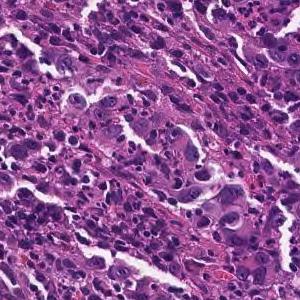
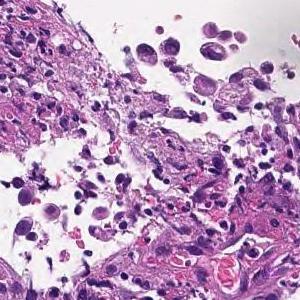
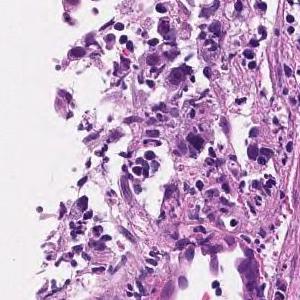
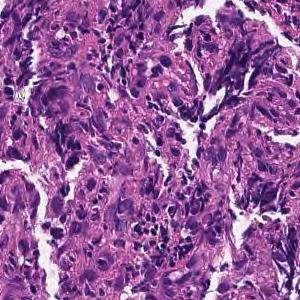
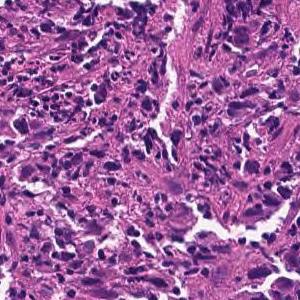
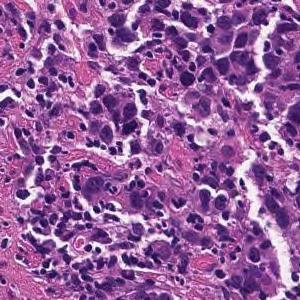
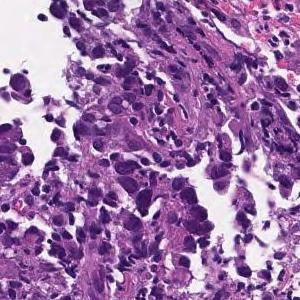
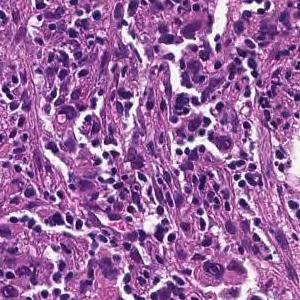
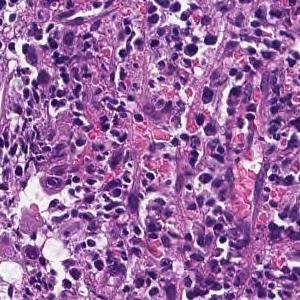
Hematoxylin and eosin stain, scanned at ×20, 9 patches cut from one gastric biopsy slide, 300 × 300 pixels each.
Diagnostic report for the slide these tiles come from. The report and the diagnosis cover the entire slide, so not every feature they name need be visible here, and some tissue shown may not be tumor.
The superficial epithelium shows a large sheet-like shape, and some tumor tissue infiltrates with small irregular ducts. Poorly differentiated adenocarcinoma, solid-type (poorly differentiated adenocarcinoma, solid type)
Tumor subtype: poorly differentiated adenocarcinoma, solid type, a category of the Japanese Classification of Gastric Carcinoma; in the WHO 2019 classification it is tubular adenocarcinoma, poorly differentiated.
